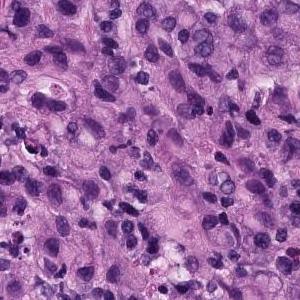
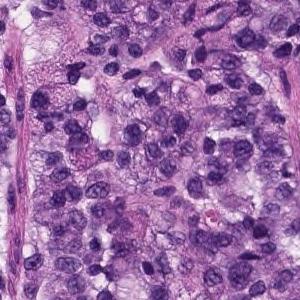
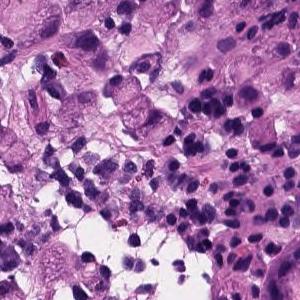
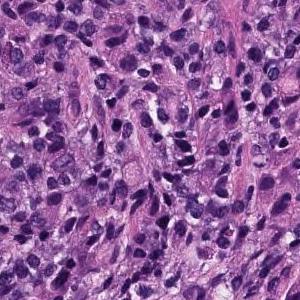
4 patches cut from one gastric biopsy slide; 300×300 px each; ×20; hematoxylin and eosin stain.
Pathology report for the biopsy slide these tiles were cut from. What the report and the diagnosis say applies to the whole slide; these tiles may miss some of the features named and may include tissue that is not tumor.
The superficial epithelium shows a large sheet-like shape, and some tumor tissue infiltrates with small irregular ducts. Poorly differentiated adenocarcinoma, solid-type
Histologic type: Poorly differentiated adenocarcinoma, solid type. This name comes from the Japanese Classification of Gastric Carcinoma; the WHO 2019 classification calls it tubular adenocarcinoma, poorly differentiated.
